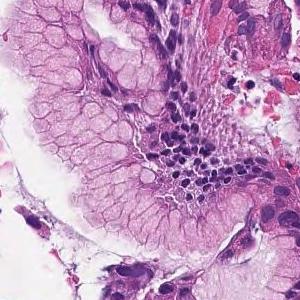
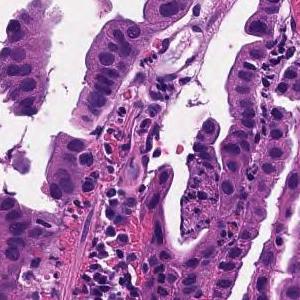
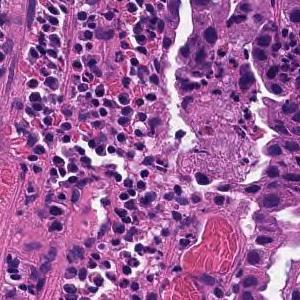
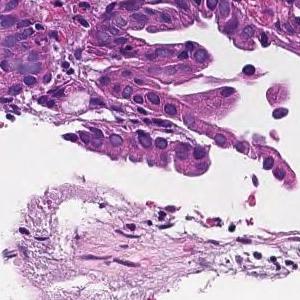
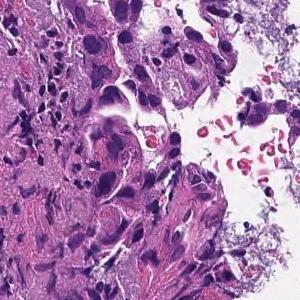
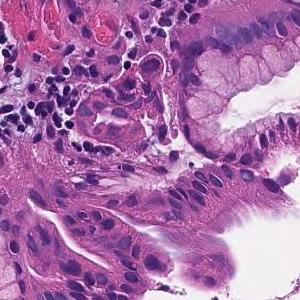
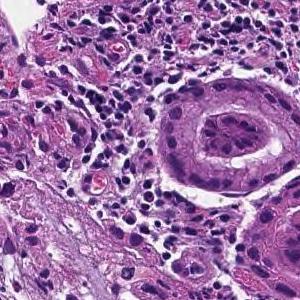
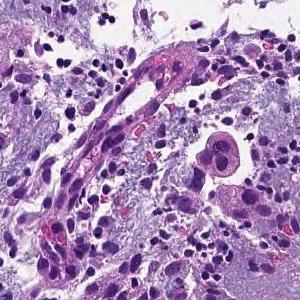
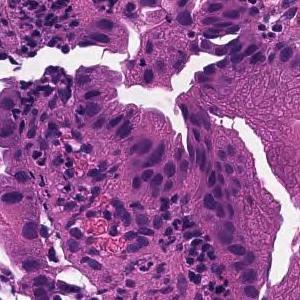
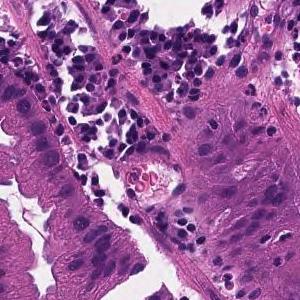
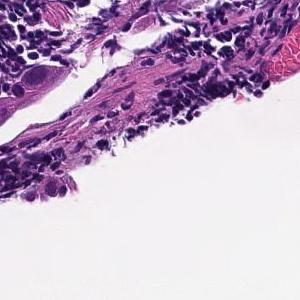
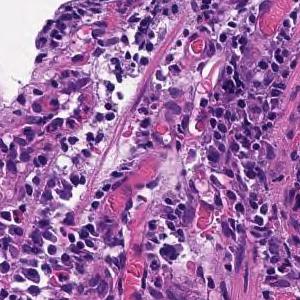
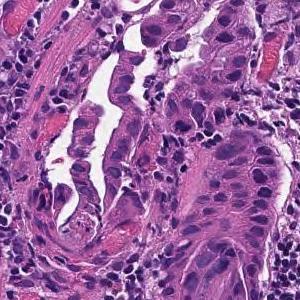
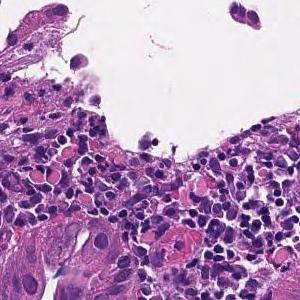
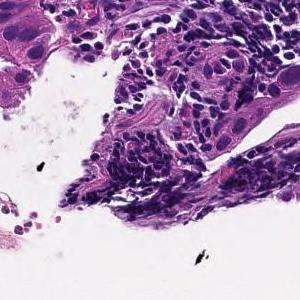
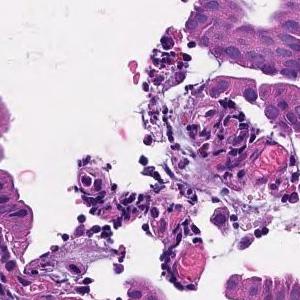
16 tiles from the same stomach biopsy slide · 300×300 px each · ×20.
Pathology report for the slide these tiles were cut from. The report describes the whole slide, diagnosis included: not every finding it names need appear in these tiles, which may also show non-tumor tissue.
On the superficial epithelium, tumor tissue that infiltrates by forming medium-sized papillary or small irregular ducts is observed. Papillary adenocarcinoma
